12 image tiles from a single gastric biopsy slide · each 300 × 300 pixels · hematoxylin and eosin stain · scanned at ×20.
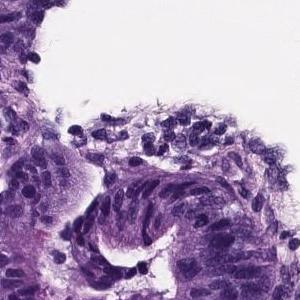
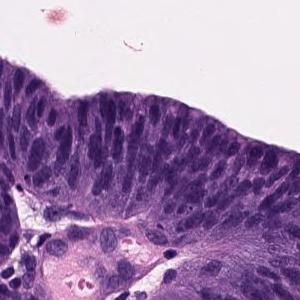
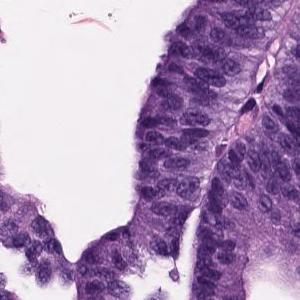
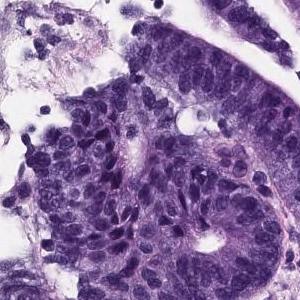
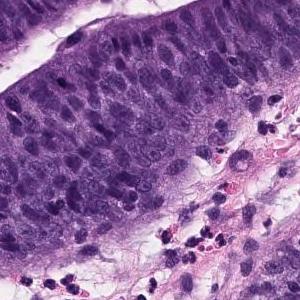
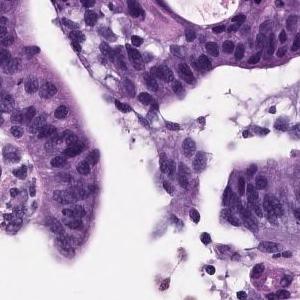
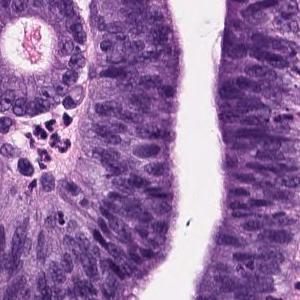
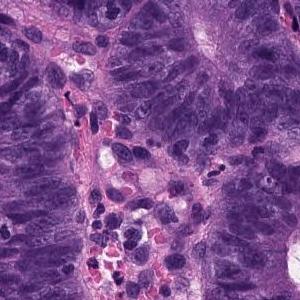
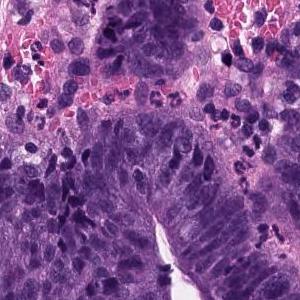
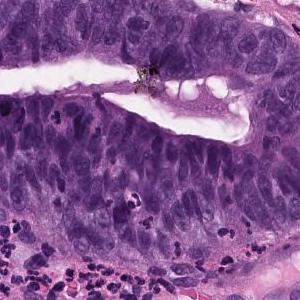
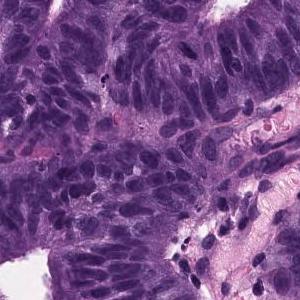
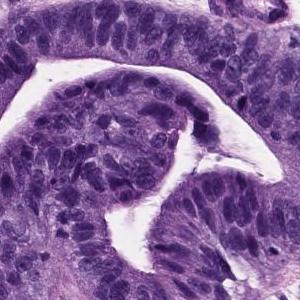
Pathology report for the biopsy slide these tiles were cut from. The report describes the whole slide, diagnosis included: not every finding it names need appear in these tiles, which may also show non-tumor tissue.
Papillo-tubular growth of atypical tubules with nuclear swelling is observed. Well differentiated tubular adenocarcinoma
